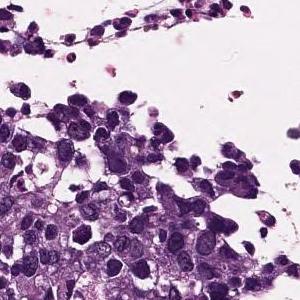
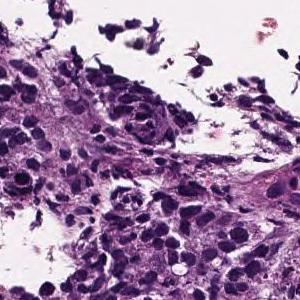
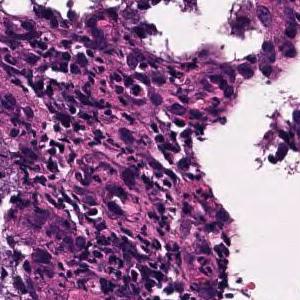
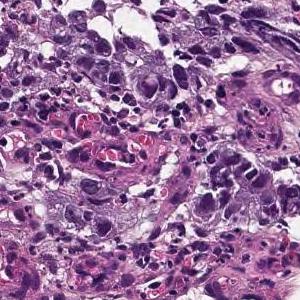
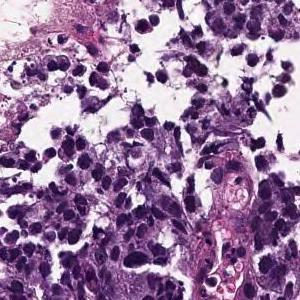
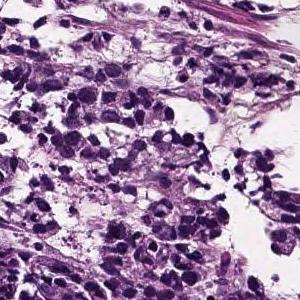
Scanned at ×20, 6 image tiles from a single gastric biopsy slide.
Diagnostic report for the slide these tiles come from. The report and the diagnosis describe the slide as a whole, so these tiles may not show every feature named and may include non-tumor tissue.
The superficial epithelium shows a large sheet-like shape, and some tumor tissue infiltrates with small irregular ducts. Poorly differentiated adenocarcinoma, solid-type
Classified as poorly differentiated adenocarcinoma, solid type. This name comes from the Japanese Classification of Gastric Carcinoma; the WHO 2019 classification calls it tubular adenocarcinoma, poorly differentiated.
